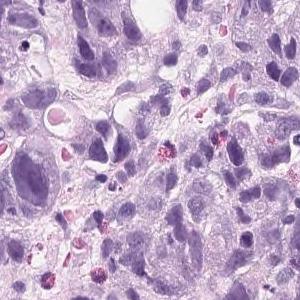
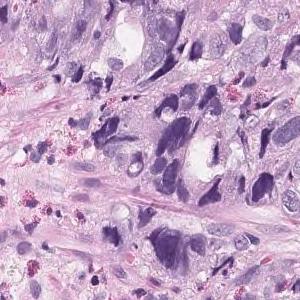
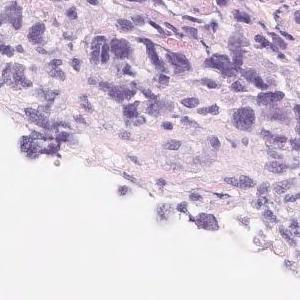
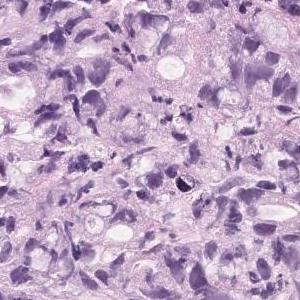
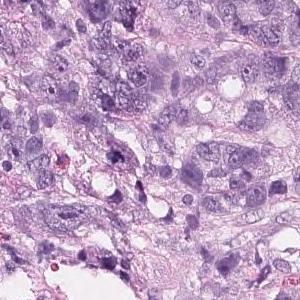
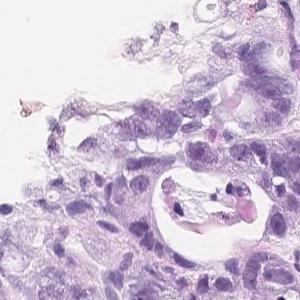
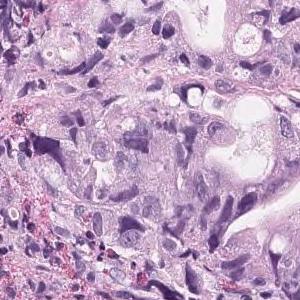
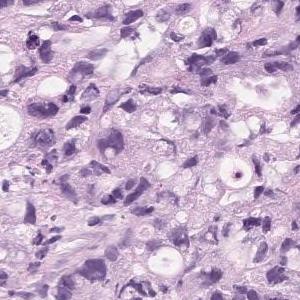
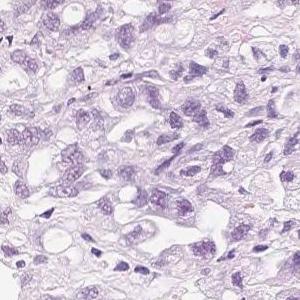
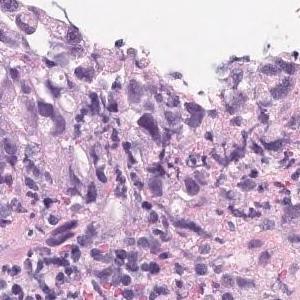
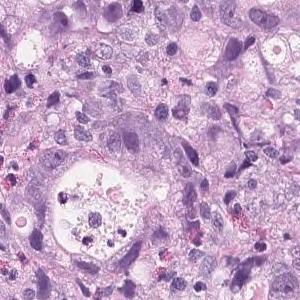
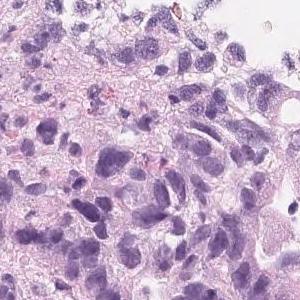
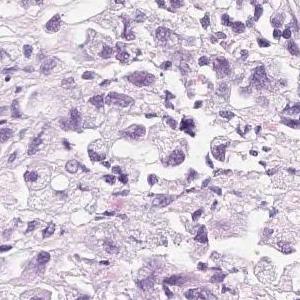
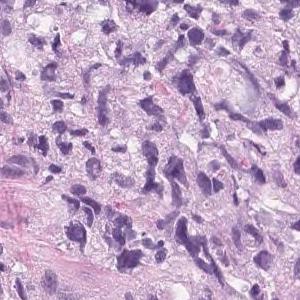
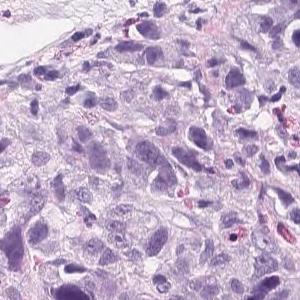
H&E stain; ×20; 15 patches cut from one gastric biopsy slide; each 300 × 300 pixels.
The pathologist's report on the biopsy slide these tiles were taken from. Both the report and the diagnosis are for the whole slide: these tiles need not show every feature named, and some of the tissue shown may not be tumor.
Tumor tissue that infiltrates and proliferates by forming small glandular cavities in the superficial layer to the submucosa or forming a mass is observed. moderately differentiated tubular adenocarcinoma
